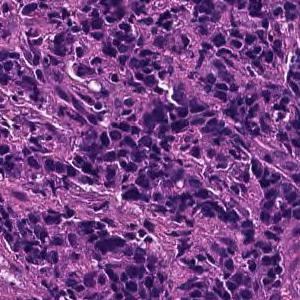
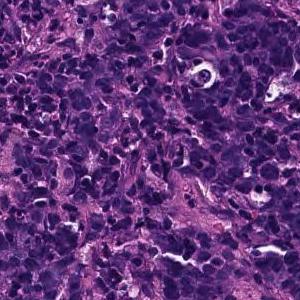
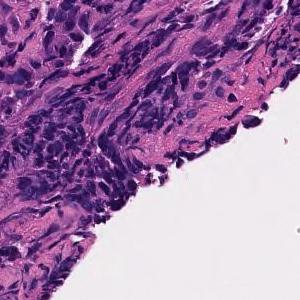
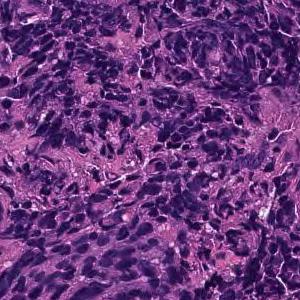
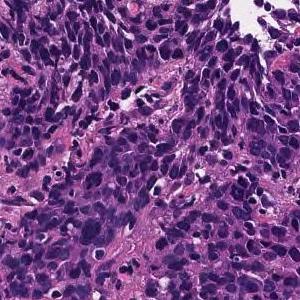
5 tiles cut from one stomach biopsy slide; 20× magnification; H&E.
Pathology report for the slide these tiles were cut from. The report describes the whole slide, diagnosis included: not every finding it names need appear in these tiles, which may also show non-tumor tissue.
Tumor tissue consisting of cord-like or small, irregular glandular ducts fused and infiltrated is observed in the superficial epithelium. Poorly differentiated adenocarcinoma, non-solid type
The term "non-solid type" comes from the Japanese Classification of Gastric Carcinoma.
